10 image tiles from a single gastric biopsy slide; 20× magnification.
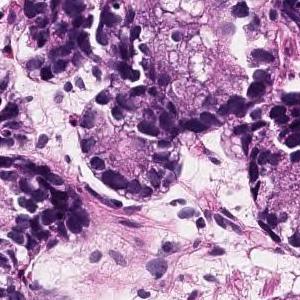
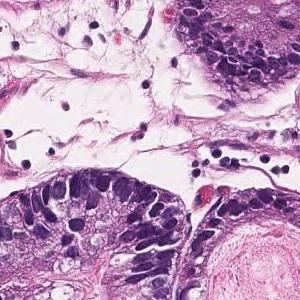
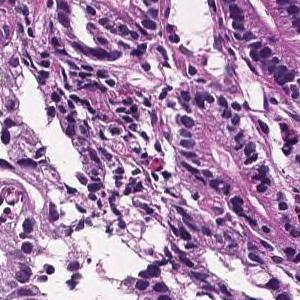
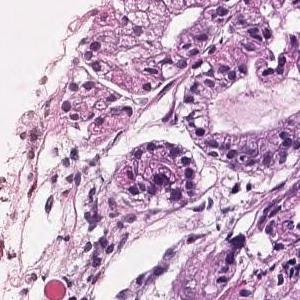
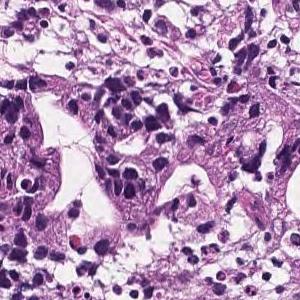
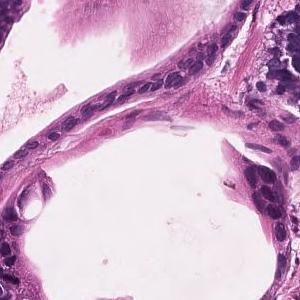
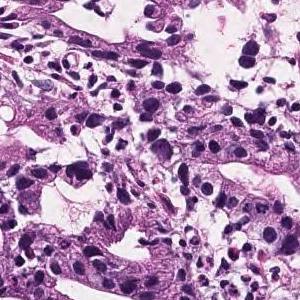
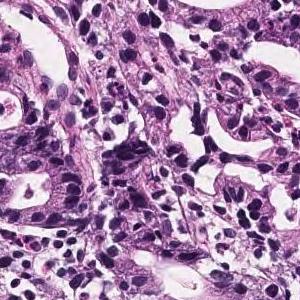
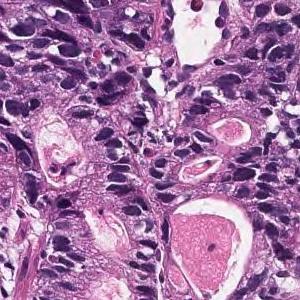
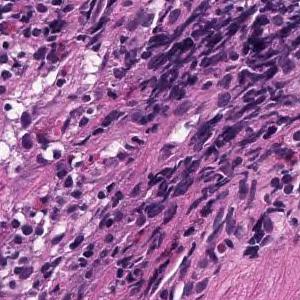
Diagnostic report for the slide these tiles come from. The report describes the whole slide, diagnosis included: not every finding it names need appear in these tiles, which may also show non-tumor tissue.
Tumor tissue consisting of medium-sized and irregular ducts is observed infiltrating in the superficial epithelium. Tumor cells are highly columnar, with nuclei aligned basolaterally and polarized. Well differentiated tubular adenocarcinoma.
